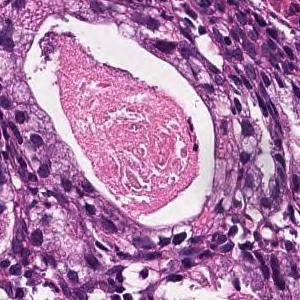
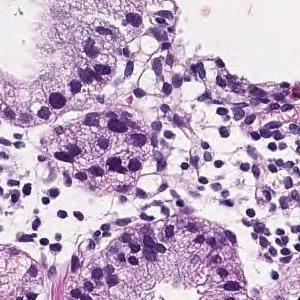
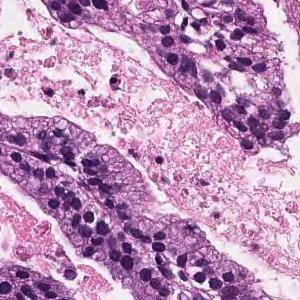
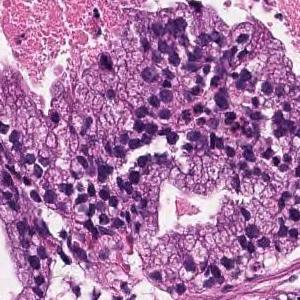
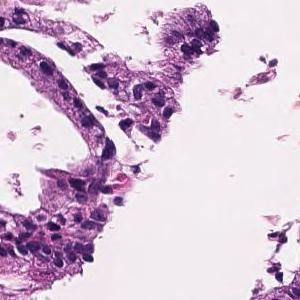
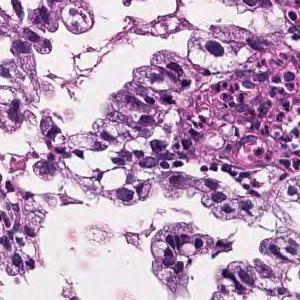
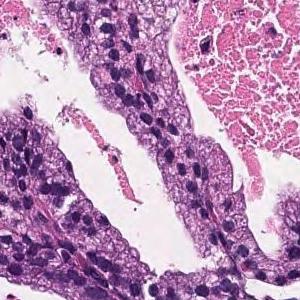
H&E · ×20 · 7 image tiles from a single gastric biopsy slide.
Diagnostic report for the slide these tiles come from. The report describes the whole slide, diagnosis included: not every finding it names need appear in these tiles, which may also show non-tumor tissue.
In the superficial epithelium, tumor tissue that infiltrates by forming medium-sized papillary or small irregular ducts is observed. Papillary adenocarcinoma
